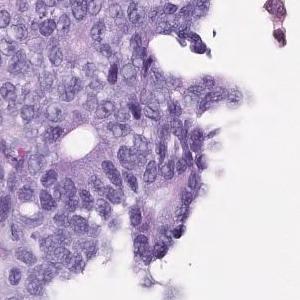
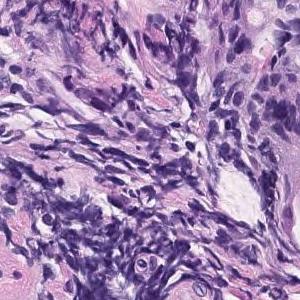
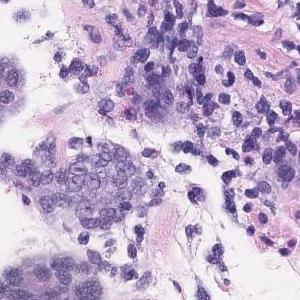
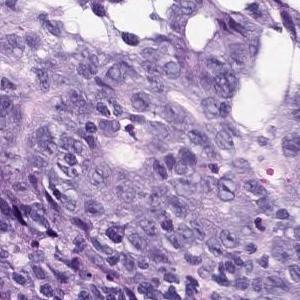
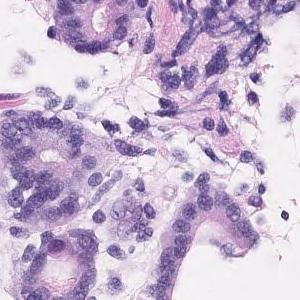
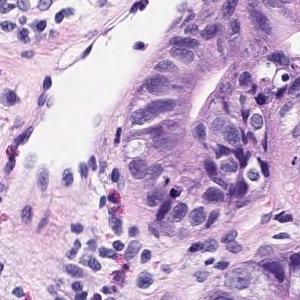
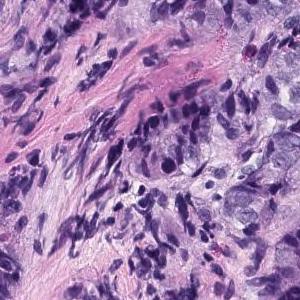
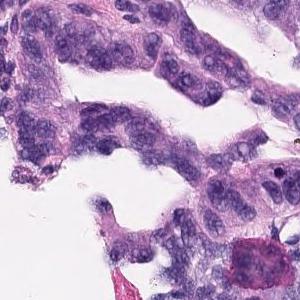
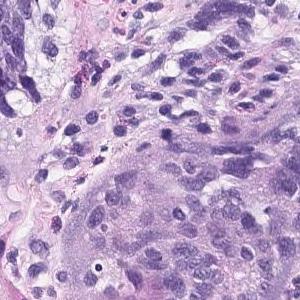
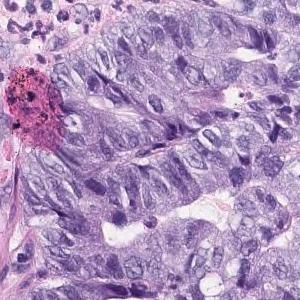
10 image tiles from a single gastric biopsy slide, hematoxylin and eosin stain.
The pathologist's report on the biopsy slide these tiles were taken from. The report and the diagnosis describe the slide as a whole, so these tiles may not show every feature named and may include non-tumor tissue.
In the superficial epithelium, tumor tissue that invades by forming medium-sized to small, irregular ducts is observed. Well to moderately differentiated tubular adenocarcinoma.
